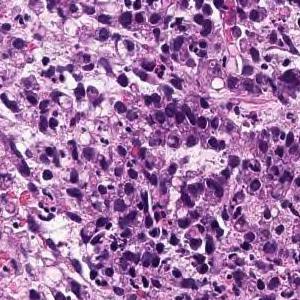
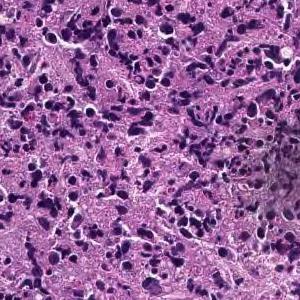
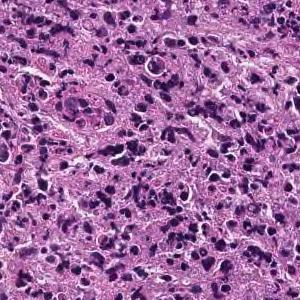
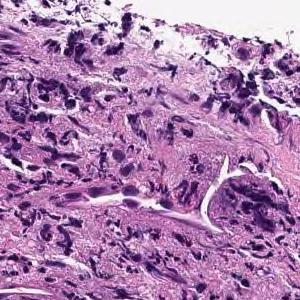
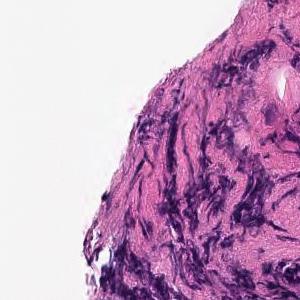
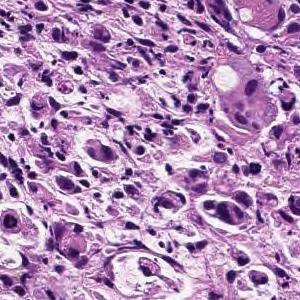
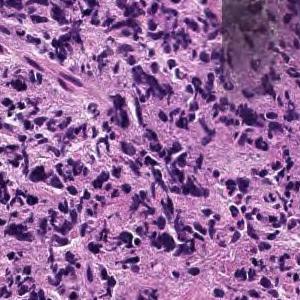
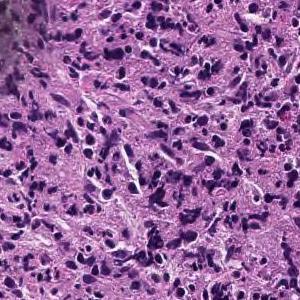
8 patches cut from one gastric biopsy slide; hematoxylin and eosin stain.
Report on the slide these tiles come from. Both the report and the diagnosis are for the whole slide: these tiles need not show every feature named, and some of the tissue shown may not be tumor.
Large sheet-like or diffusely infiltrating tumor tissue is found in the superficial epithelium. Poorly differentiated adenocarcinoma, solid-type
Histological subtype: Poorly differentiated adenocarcinoma, solid type (Japanese Classification of Gastric Carcinoma). The WHO 2019 equivalent is tubular adenocarcinoma, poorly differentiated.
